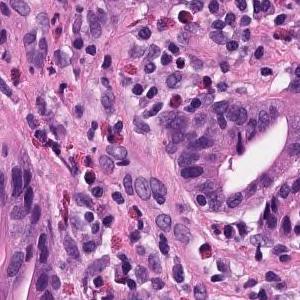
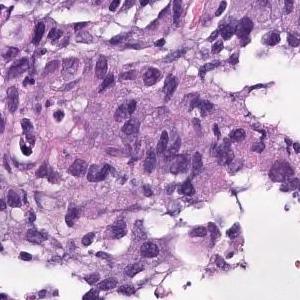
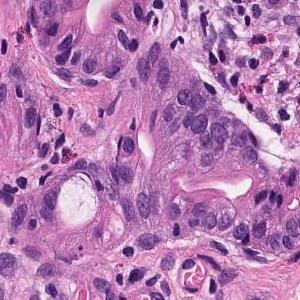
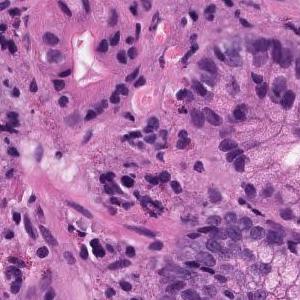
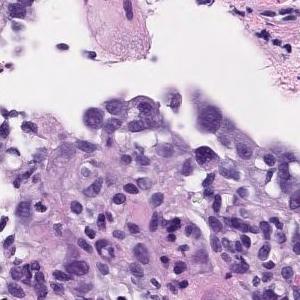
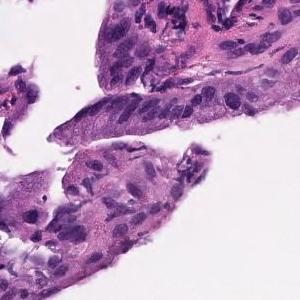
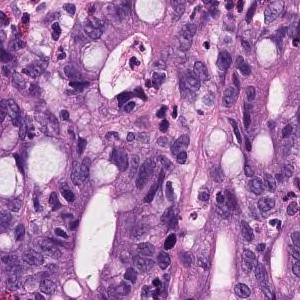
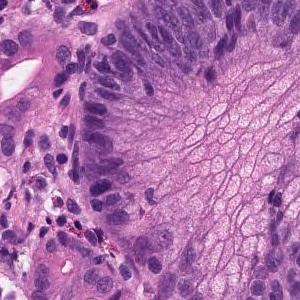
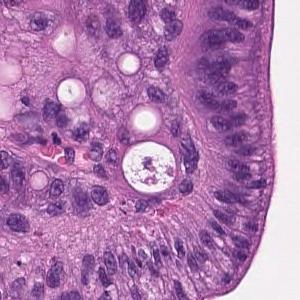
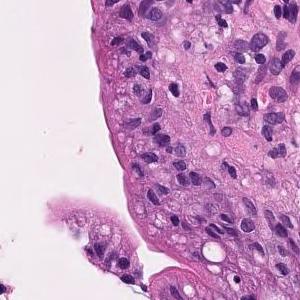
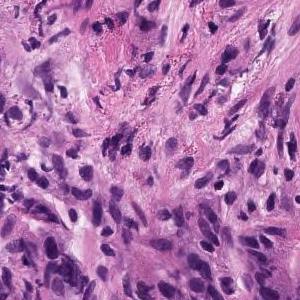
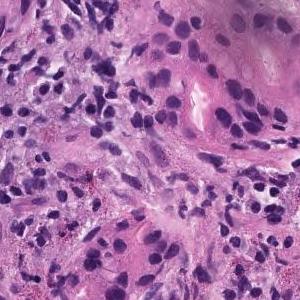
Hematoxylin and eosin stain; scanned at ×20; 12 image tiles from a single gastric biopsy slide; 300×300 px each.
Pathology report for the slide these tiles were cut from. The report and the diagnosis describe the slide as a whole, so these tiles may not show every feature named and may include non-tumor tissue.
moderately differentiated tubular adenocarcinoma, Poorly differentiated adenocarcinoma
Dataset label: poorly differentiated adenocarcinoma, solid type. This name comes from the Japanese Classification of Gastric Carcinoma; the WHO 2019 classification calls it tubular adenocarcinoma, poorly differentiated.
